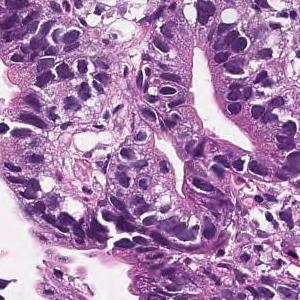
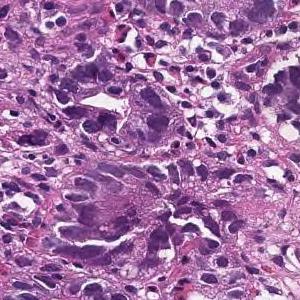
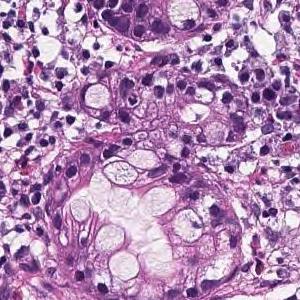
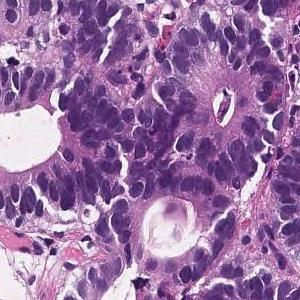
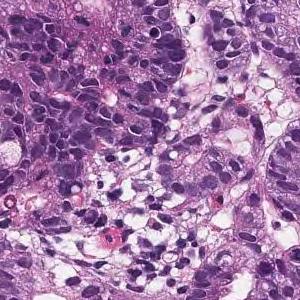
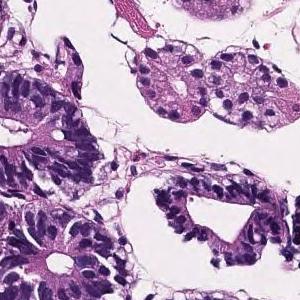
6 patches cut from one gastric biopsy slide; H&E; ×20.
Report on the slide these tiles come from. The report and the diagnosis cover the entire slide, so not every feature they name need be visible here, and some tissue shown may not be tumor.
On the superficial epithelium, tumor tissue consisting of large, irregular glandular ducts partially fused and infiltrated is observed. Well to moderately differentiated tubular adenocarcinoma (well differentiated tubular adenocarcinoma, moderately differentiated tubular adenocarcinoma)
Histologic type: Well to moderately differentiated tubular adenocarcinoma.
